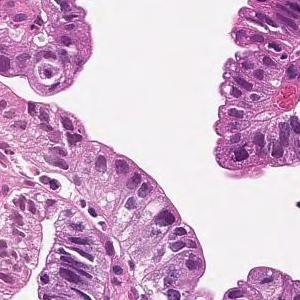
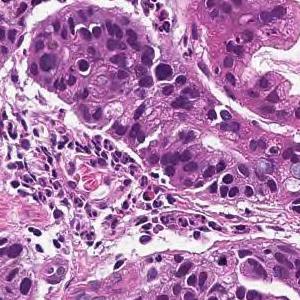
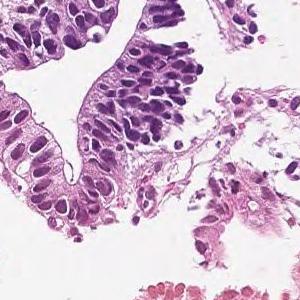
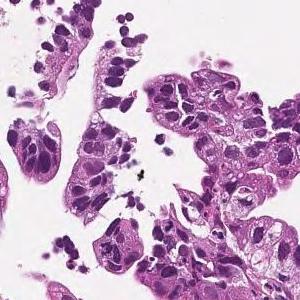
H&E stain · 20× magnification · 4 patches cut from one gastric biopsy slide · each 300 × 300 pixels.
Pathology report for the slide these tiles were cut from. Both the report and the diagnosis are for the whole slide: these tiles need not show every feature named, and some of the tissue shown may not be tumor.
On the superficial epithelium, tumor tissue that infiltrates by forming medium-sized papillary or small irregular ducts is observed. Papillary adenocarcinoma
